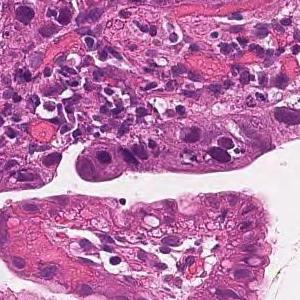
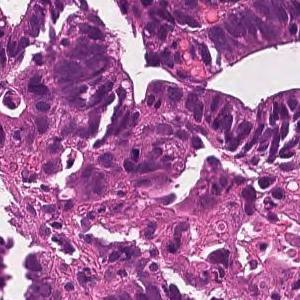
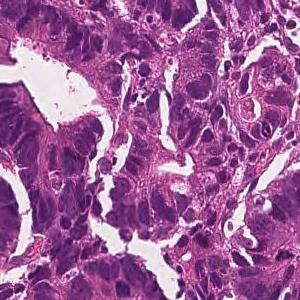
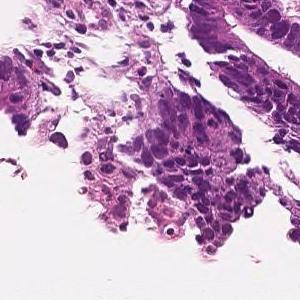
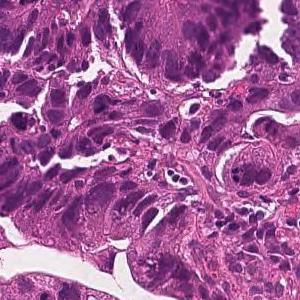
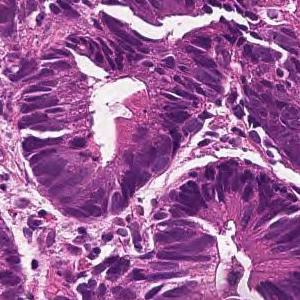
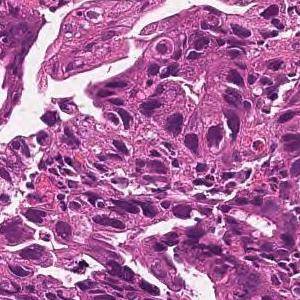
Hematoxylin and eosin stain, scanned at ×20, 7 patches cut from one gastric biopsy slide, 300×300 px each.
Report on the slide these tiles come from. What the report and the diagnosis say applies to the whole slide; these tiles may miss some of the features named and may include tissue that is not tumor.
From the superficial epithelium to the muscularis mucosae, tumor tissue consisting of medium-sized and irregular glandular ducts infiltrating is observed. Well differentiated tubular adenocarcinoma
